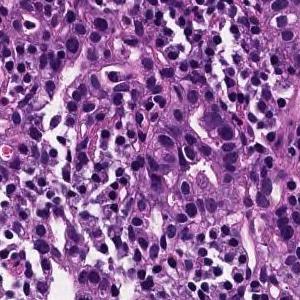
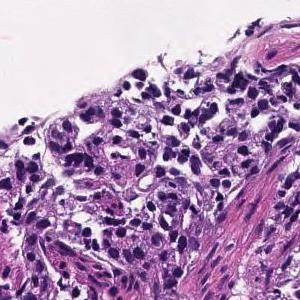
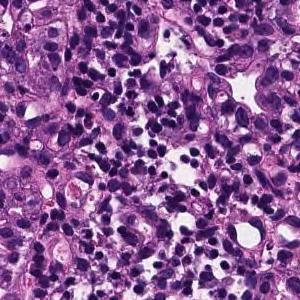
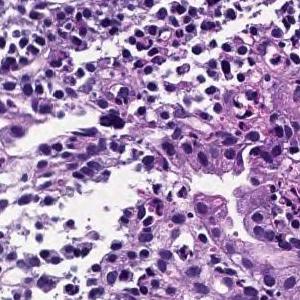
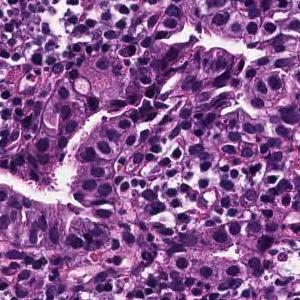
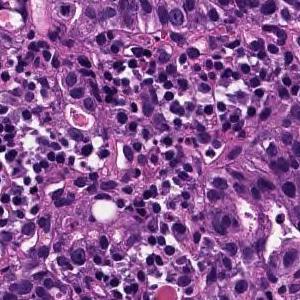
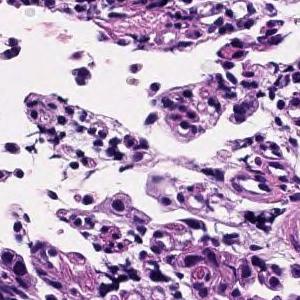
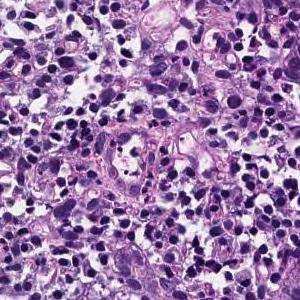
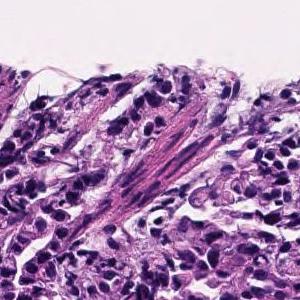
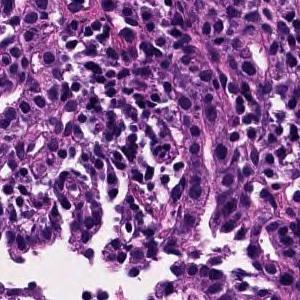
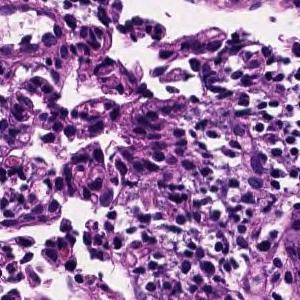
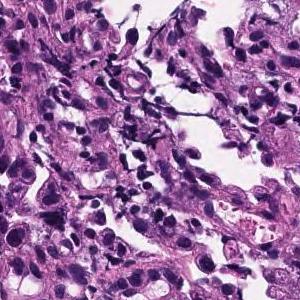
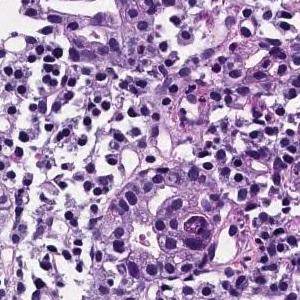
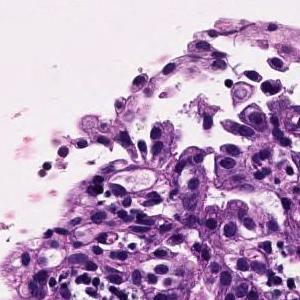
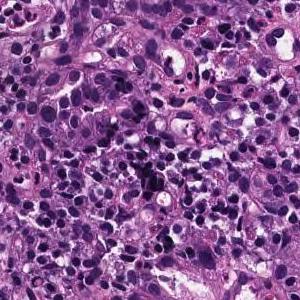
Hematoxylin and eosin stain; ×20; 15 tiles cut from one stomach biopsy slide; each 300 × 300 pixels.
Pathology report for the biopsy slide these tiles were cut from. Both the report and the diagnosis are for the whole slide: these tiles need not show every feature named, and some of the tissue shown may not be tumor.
Medium to small, irregular glandular ducts are formed in the superficial epithelium, and in some cases, the glandular ducts are fused to show solid alveolar lesions and infiltrating tumor tissue is observed. Moderately to poorly differentiated adenocarcinoma.
